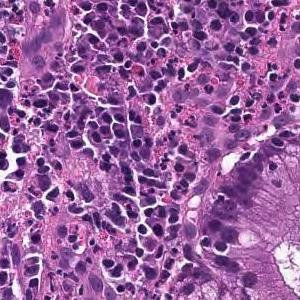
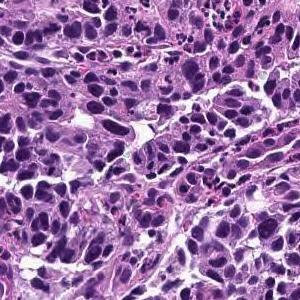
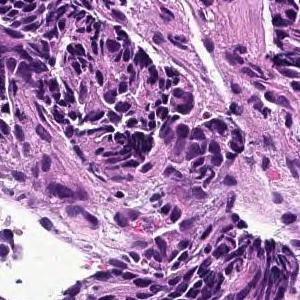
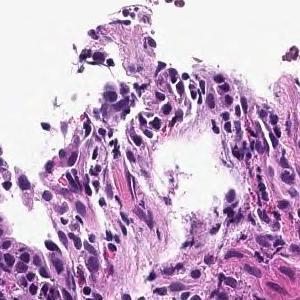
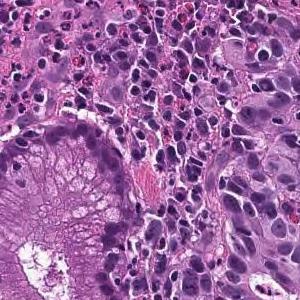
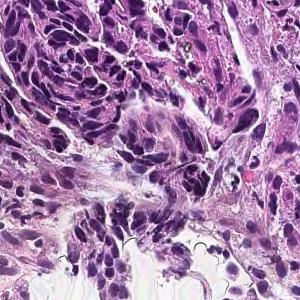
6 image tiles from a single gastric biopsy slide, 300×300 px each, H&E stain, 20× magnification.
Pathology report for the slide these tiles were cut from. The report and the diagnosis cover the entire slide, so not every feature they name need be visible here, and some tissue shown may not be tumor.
In the superficial epithelium, tumor tissue that invades by forming medium-sized to small, irregular ducts is observed. moderately differentiated tubular adenocarcinoma.
